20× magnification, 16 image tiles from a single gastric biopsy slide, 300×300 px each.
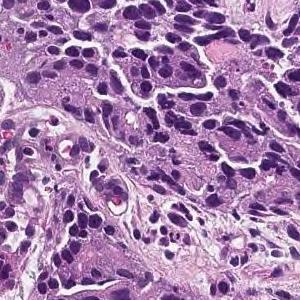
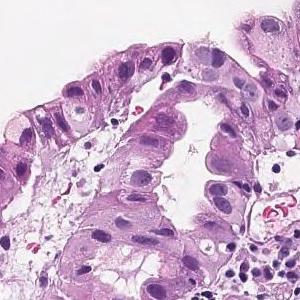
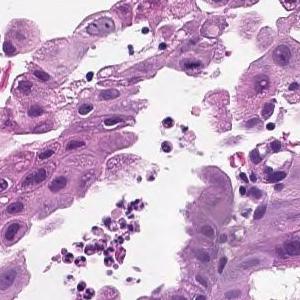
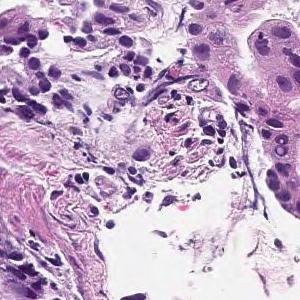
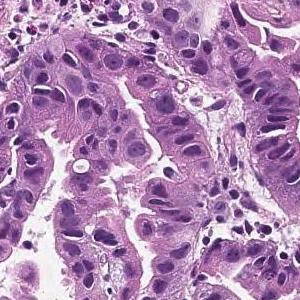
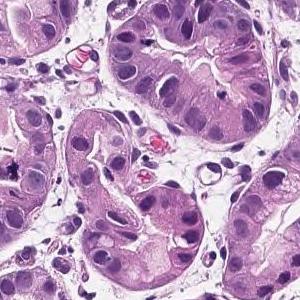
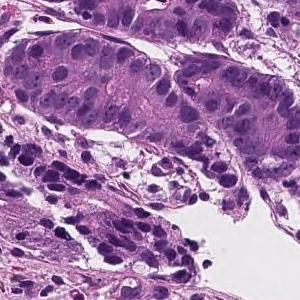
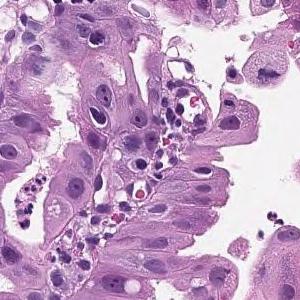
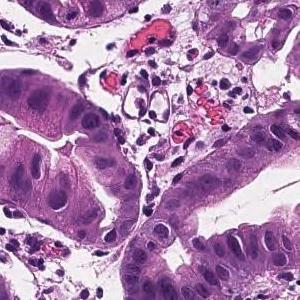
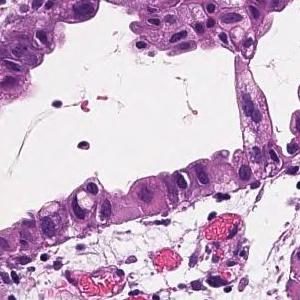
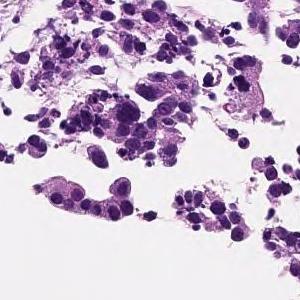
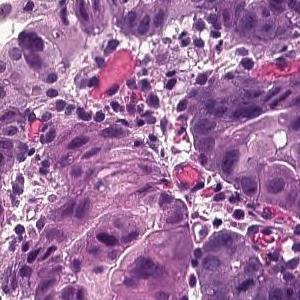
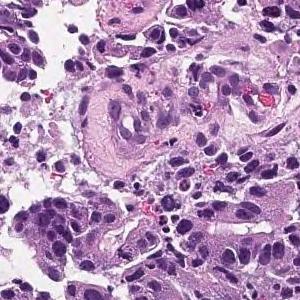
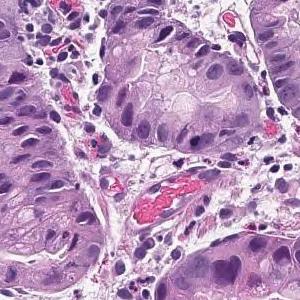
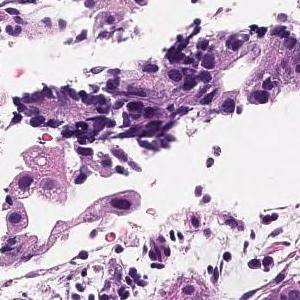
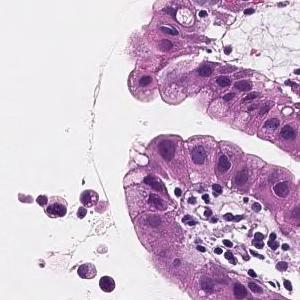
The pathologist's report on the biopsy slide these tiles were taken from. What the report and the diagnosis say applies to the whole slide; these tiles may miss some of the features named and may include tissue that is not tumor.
On the superficial epithelium, tumor tissue that infiltrates by forming medium-sized papillary or small irregular ducts is observed. Papillary adenocarcinoma
